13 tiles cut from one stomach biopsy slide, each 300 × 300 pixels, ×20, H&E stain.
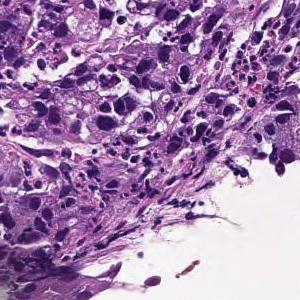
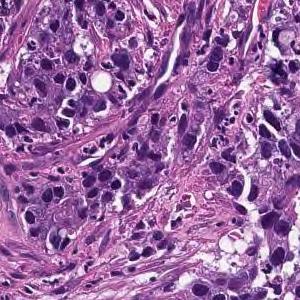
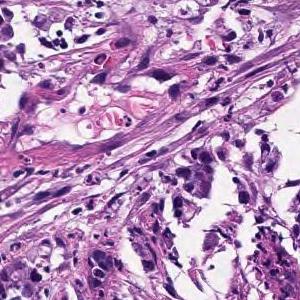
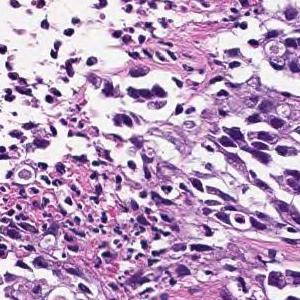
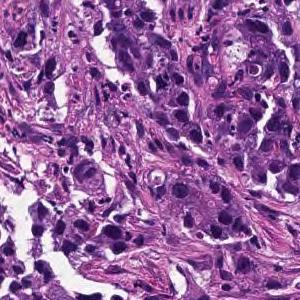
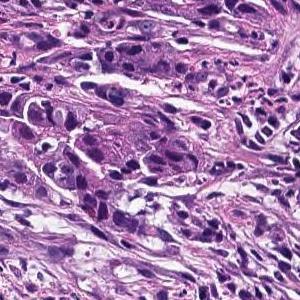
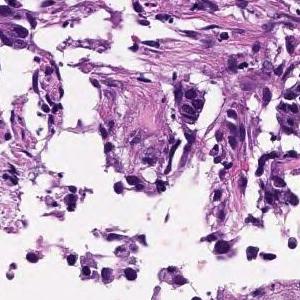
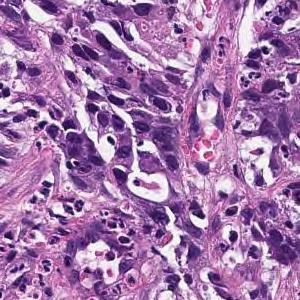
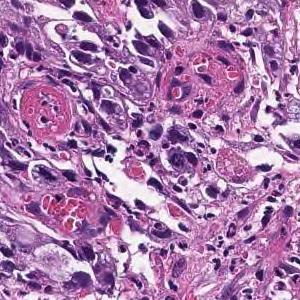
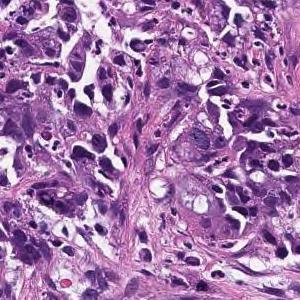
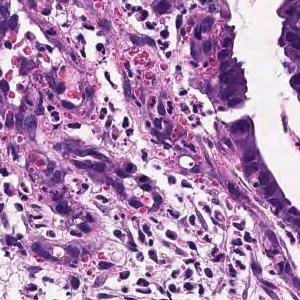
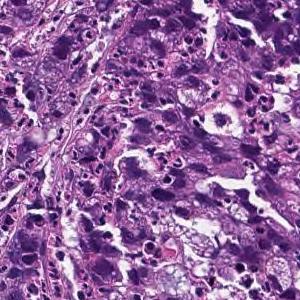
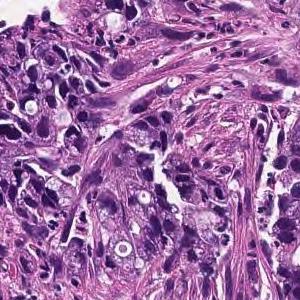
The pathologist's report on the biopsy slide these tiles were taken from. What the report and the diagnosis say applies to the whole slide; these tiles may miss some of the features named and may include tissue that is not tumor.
Medium to small, irregular glandular ducts are formed in the superficial epithelium, and in some cases, the glandular ducts are fused to show solid alveolar lesions and infiltrating tumor tissue is observed. Moderately to poorly differentiated adenocarcinoma.
